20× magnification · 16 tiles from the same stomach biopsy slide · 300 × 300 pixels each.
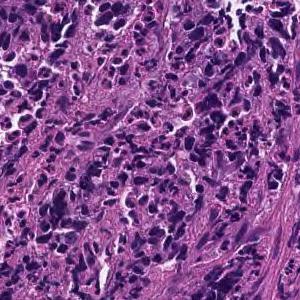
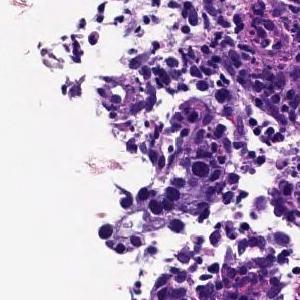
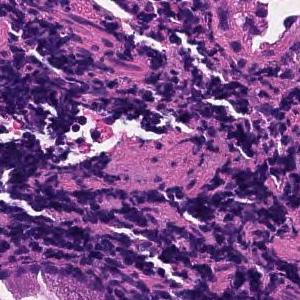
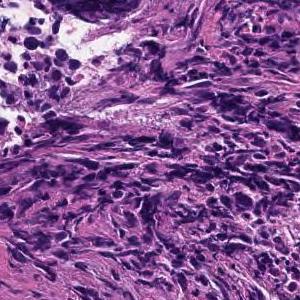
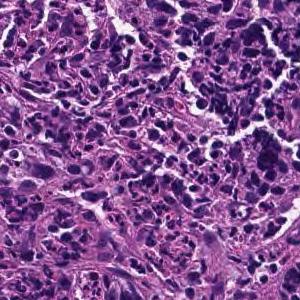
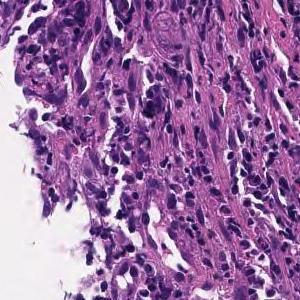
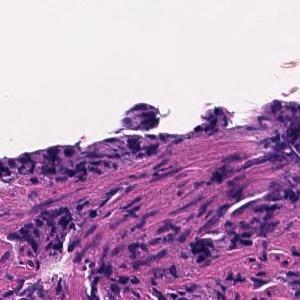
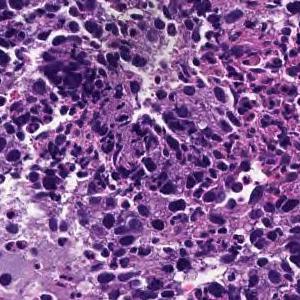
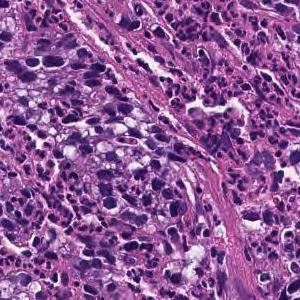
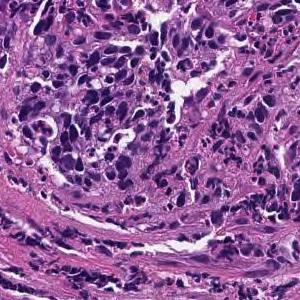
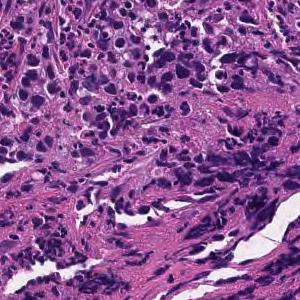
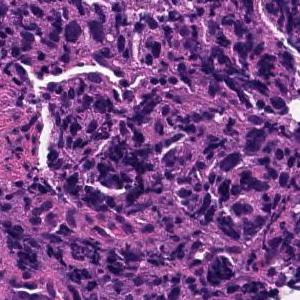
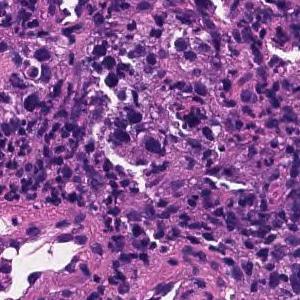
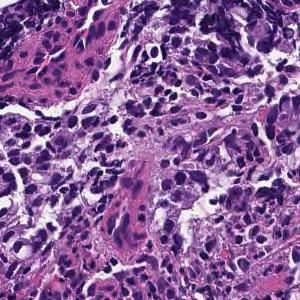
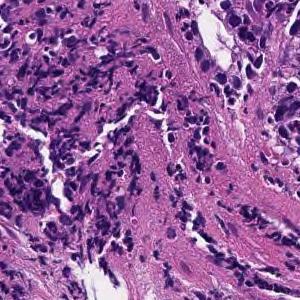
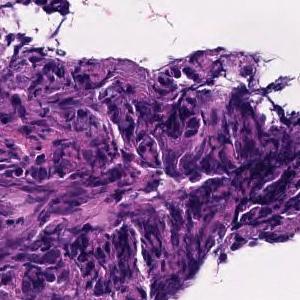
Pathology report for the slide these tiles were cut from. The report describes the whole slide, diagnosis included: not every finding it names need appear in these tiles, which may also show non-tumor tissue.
Tumor tissue consisting of cord-like or small, irregular glandular ducts fused and infiltrated is observed in the superficial epithelium. Poorly differentiated adenocarcinoma, non-solid type
The non-solid type named here is a Japanese Classification of Gastric Carcinoma category.
